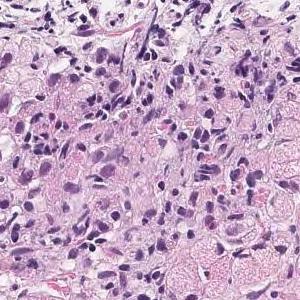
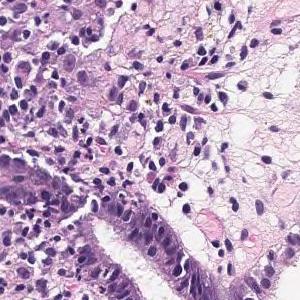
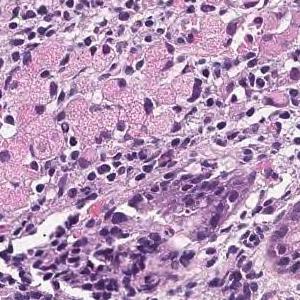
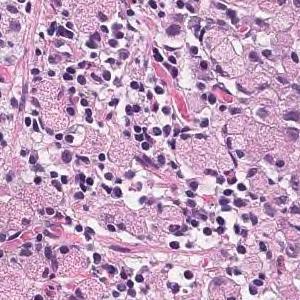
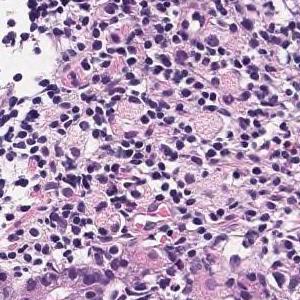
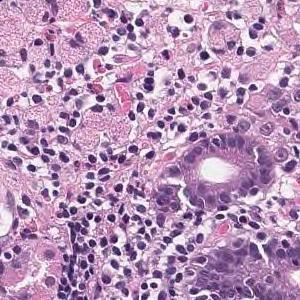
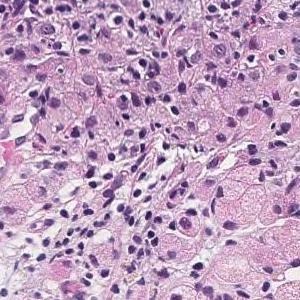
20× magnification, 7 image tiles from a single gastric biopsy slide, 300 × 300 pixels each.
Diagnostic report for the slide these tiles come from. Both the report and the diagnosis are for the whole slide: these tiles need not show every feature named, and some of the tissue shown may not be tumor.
Atypical epithelium with the mucus rich vesicles proliferates solidly. Signet ring cell carcinoma.
